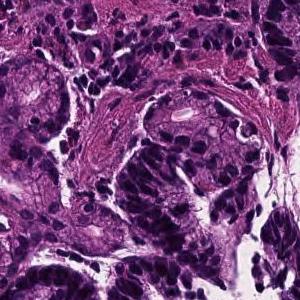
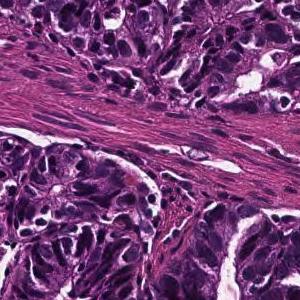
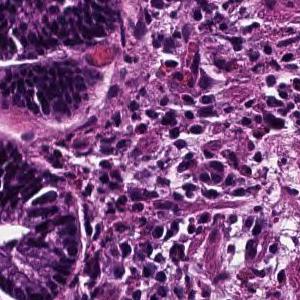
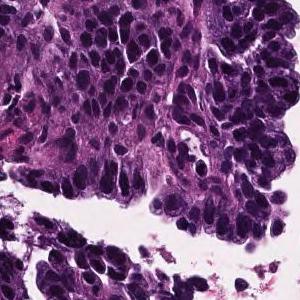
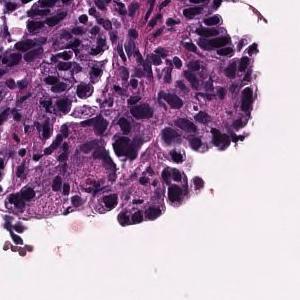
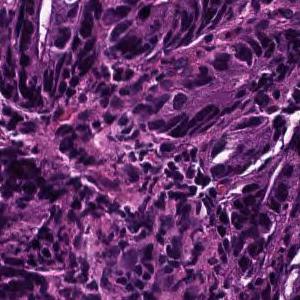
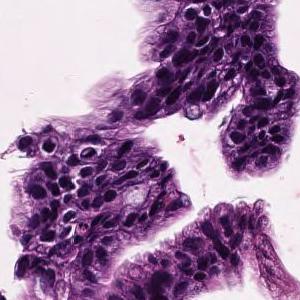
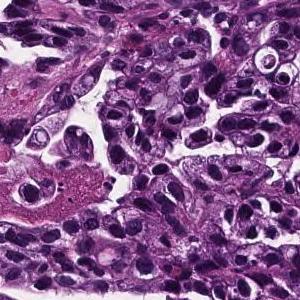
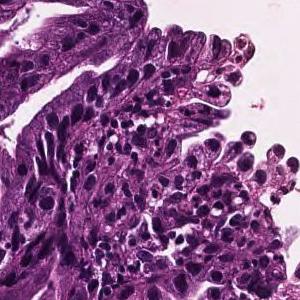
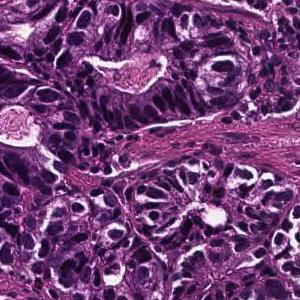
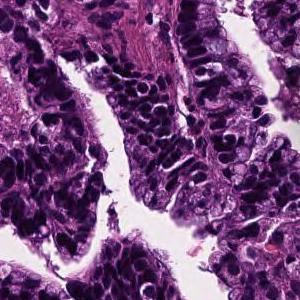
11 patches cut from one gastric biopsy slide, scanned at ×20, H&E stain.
Diagnostic report for the slide these tiles come from. The findings and the diagnosis refer to the entire slide; these tiles show only part of it, possibly with non-tumor tissue, and may not show every feature named.
In the superficial epithelium, tumor tissue that invades by forming medium-sized to small, irregular ducts is observed. Well differentiated tubular adenocarcinoma.
